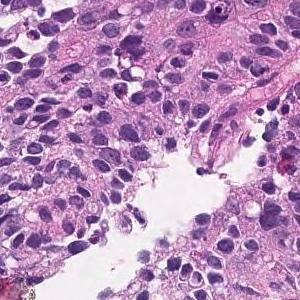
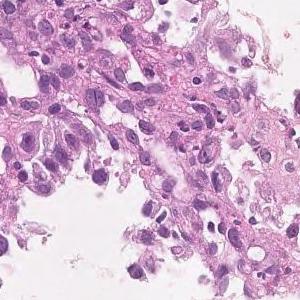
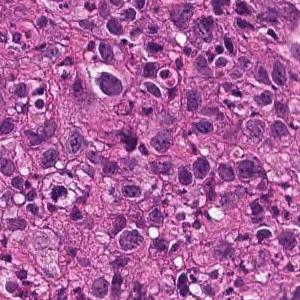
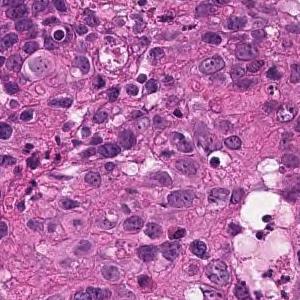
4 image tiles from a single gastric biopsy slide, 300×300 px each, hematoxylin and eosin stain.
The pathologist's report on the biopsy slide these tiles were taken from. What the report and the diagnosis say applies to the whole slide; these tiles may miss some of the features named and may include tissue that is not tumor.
The superficial epithelium shows a large sheet-like shape, and some tumor tissue infiltrates with small irregular ducts. Poorly differentiated adenocarcinoma, solid-type
Histological subtype: Poorly differentiated adenocarcinoma, solid type (Japanese Classification of Gastric Carcinoma). The WHO 2019 equivalent is tubular adenocarcinoma, poorly differentiated.
